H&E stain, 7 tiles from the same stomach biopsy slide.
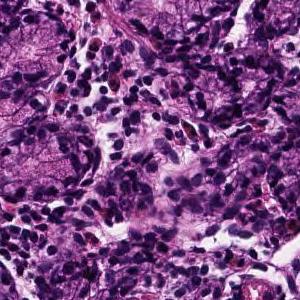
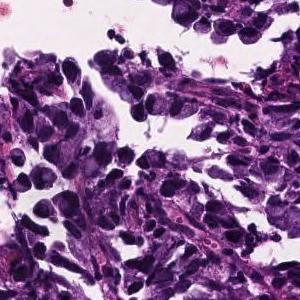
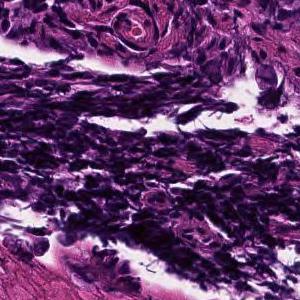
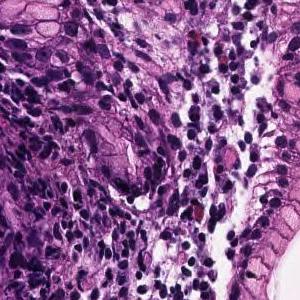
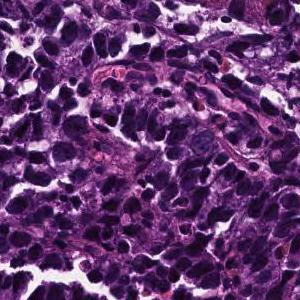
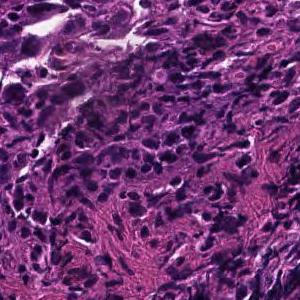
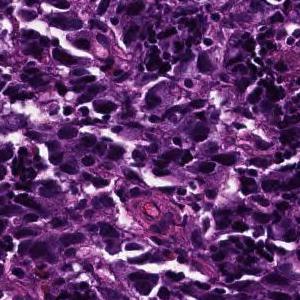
Diagnostic report for the slide these tiles come from. The findings and the diagnosis refer to the entire slide; these tiles show only part of it, possibly with non-tumor tissue, and may not show every feature named.
The superficial epithelium shows a large sheet-like shape, and some tumor tissues infiltrate with a small cord-like structure. Poorly differentiated adenocarcinoma, solid type (poorly differentiated adenocarcinoma, solid type)
Tumor subtype: poorly differentiated adenocarcinoma, solid type. This name comes from the Japanese Classification of Gastric Carcinoma; the WHO 2019 classification calls it tubular adenocarcinoma, poorly differentiated.
